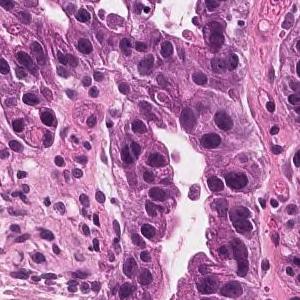
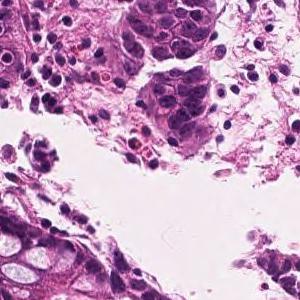
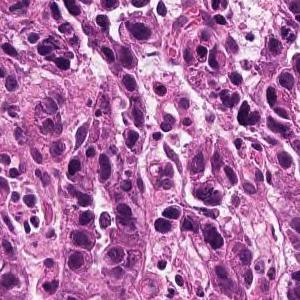
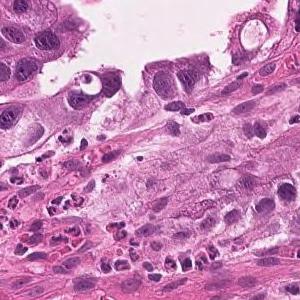
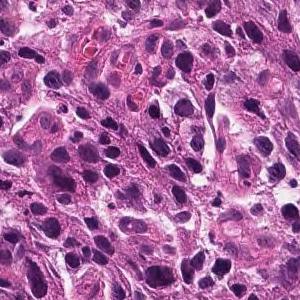
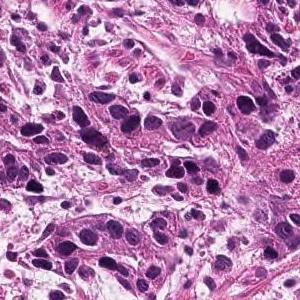
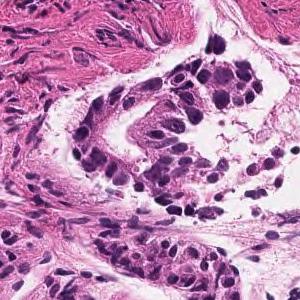
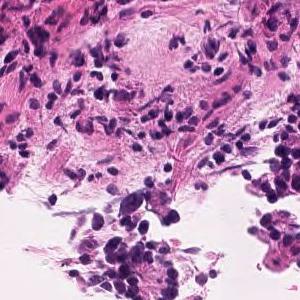
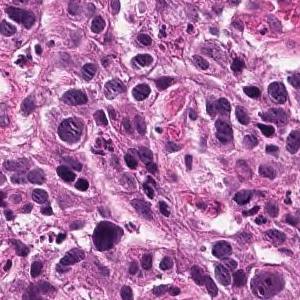
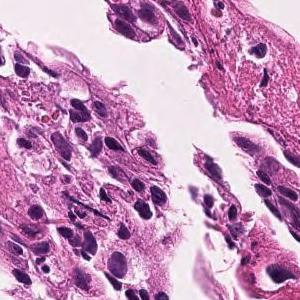
20× magnification; H&E stain; 10 image tiles from a single gastric biopsy slide; 300×300 px each.
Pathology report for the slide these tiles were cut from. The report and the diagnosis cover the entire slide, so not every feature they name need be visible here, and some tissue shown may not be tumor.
Tumor tissue consisting of medium-sized, cord-like or irregular glandular infiltration is observed in the superficial epithelium. Poorly differentiated adenocarcinoma, non-solid type or moderately differentiated tubular adenocarcinoma
Histological subtype: Moderately to poorly differentiated adenocarcinoma.
"Non-solid type" is a category of the Japanese Classification of Gastric Carcinoma.
